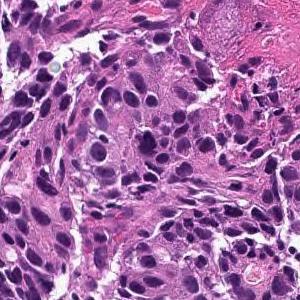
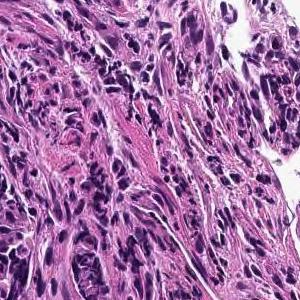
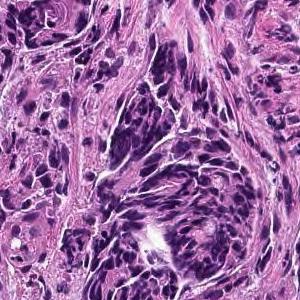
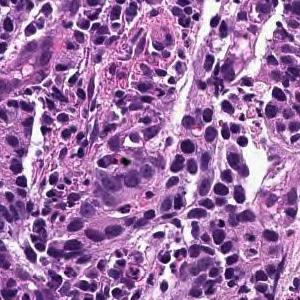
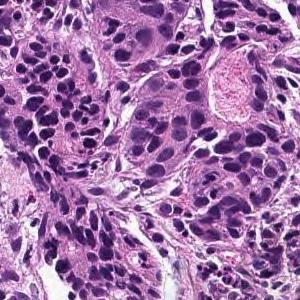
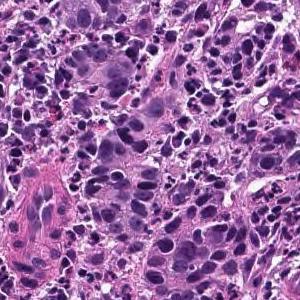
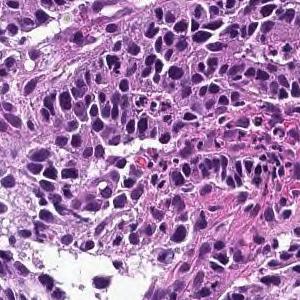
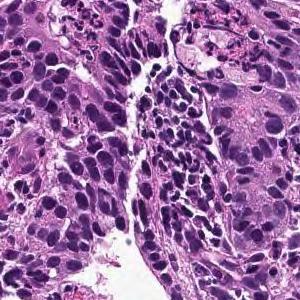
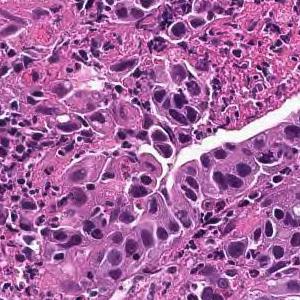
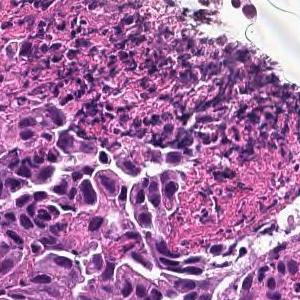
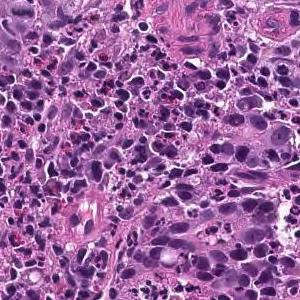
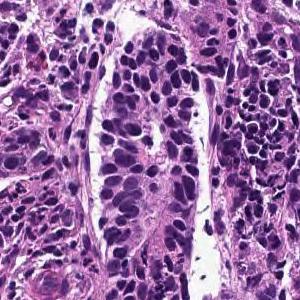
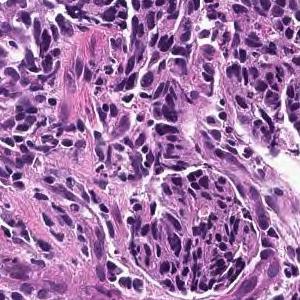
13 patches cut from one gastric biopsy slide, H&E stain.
Pathology report for the slide these tiles were cut from. What the report and the diagnosis say applies to the whole slide; these tiles may miss some of the features named and may include tissue that is not tumor.
In the superficial epithelium, tumor tissue that invades by forming medium-sized to small, irregular ducts is observed. moderately differentiated tubular adenocarcinoma.
